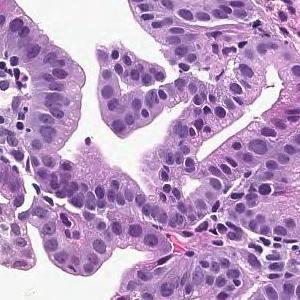
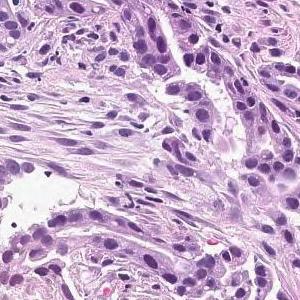
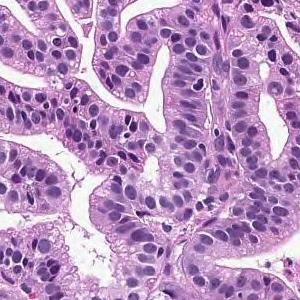
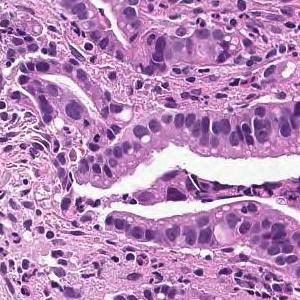
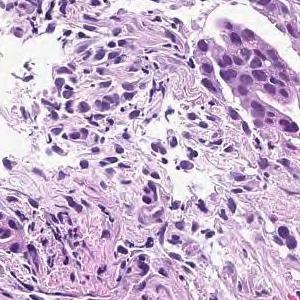
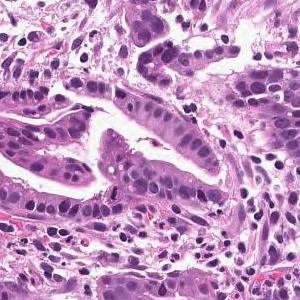
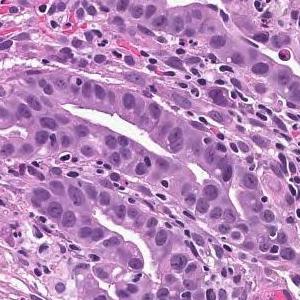
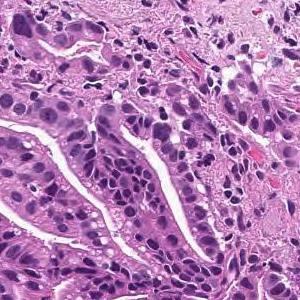
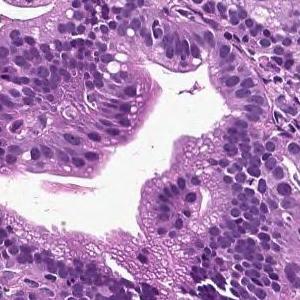
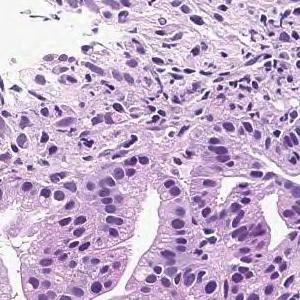
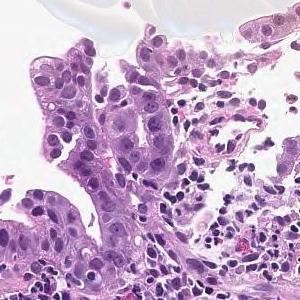
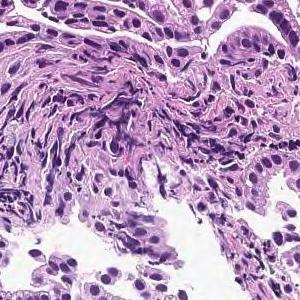
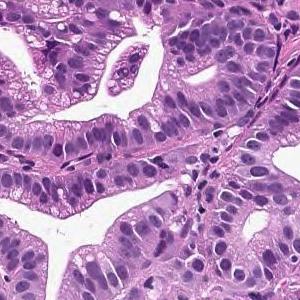
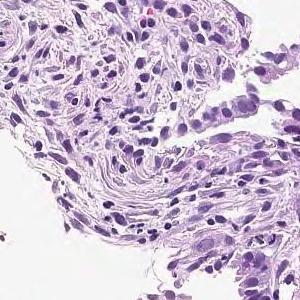
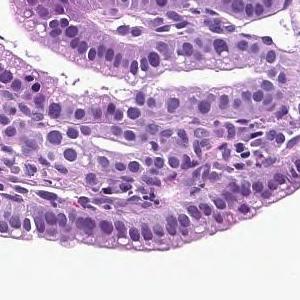
15 image tiles from a single gastric biopsy slide, 300 × 300 pixels each, H&E stain, ×20.
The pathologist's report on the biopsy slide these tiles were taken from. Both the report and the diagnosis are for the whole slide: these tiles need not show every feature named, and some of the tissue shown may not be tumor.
On the superficial epithelium, tumor tissue that infiltrates by forming medium-sized papillary or small irregular ducts is observed. Papillary adenocarcinoma
